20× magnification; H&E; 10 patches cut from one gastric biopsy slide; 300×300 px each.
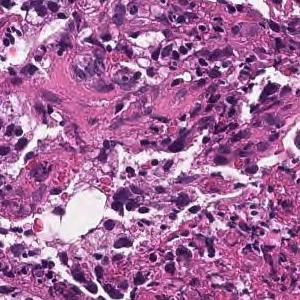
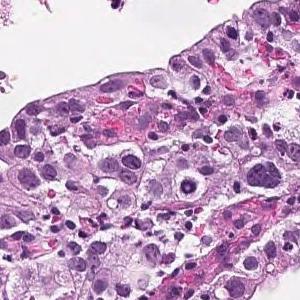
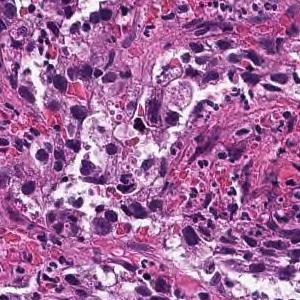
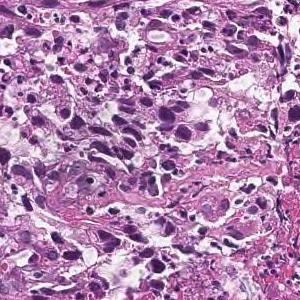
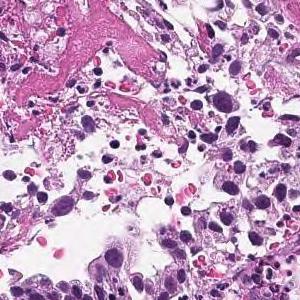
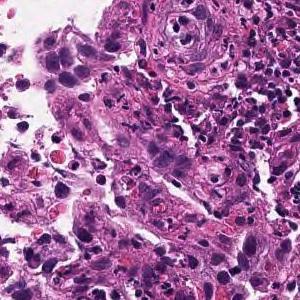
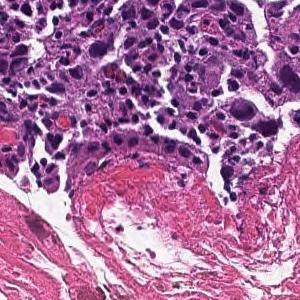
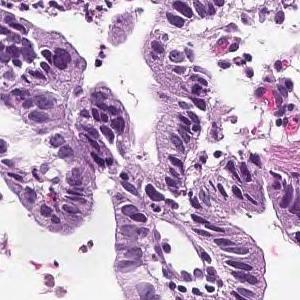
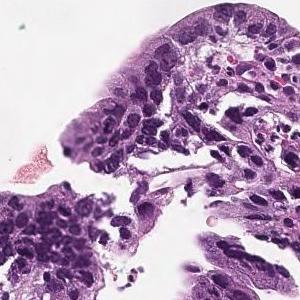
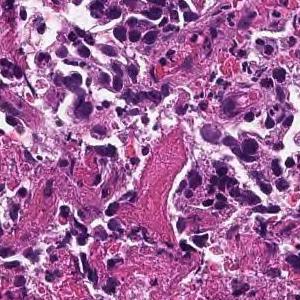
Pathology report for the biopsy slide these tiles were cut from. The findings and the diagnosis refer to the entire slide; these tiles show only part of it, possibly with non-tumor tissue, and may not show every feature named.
Tumor tissue consisting of medium-sized, cord-like or irregular glandular infiltration is observed in the superficial epithelium. Poorly differentiated adenocarcinoma, non-solid type or moderately differentiated tubular adenocarcinoma
Classified as moderately to poorly differentiated adenocarcinoma.
The non-solid type named here is a Japanese Classification of Gastric Carcinoma category.
